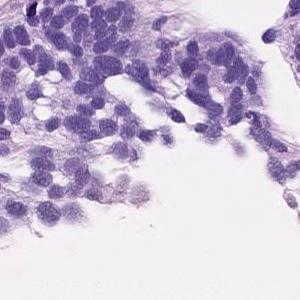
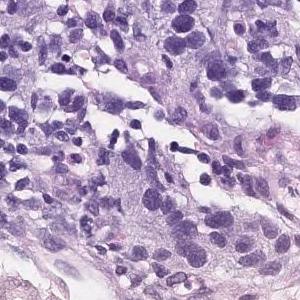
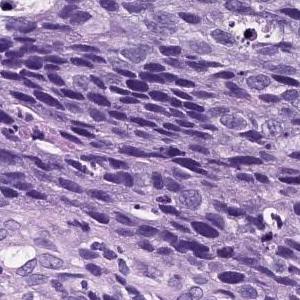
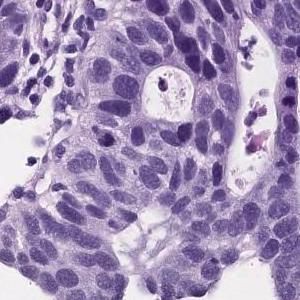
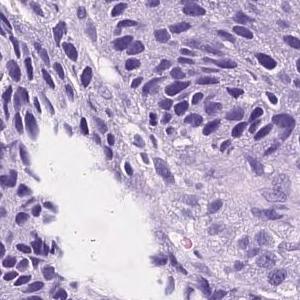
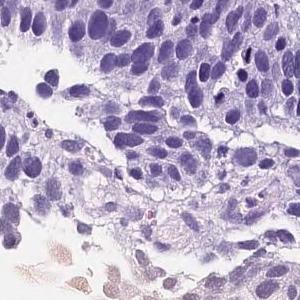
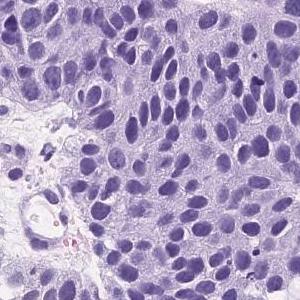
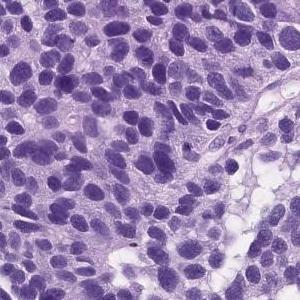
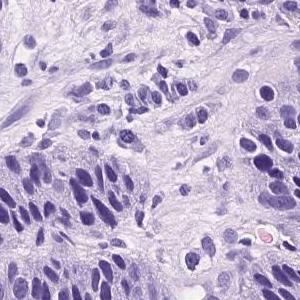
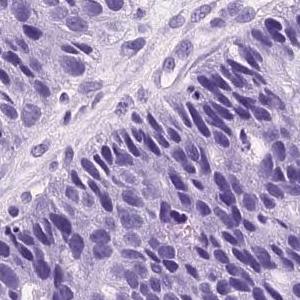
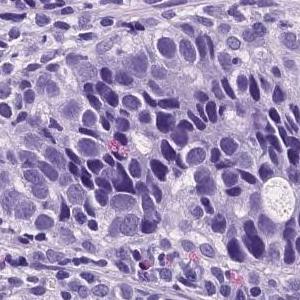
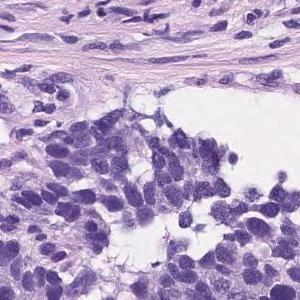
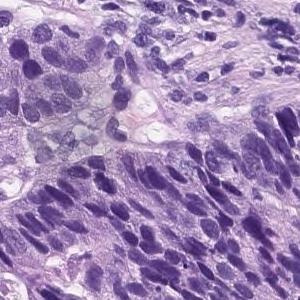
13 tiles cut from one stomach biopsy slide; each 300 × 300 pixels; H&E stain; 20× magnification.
Diagnostic report for the slide these tiles come from. The report and the diagnosis cover the entire slide, so not every feature they name need be visible here, and some tissue shown may not be tumor.
Atypical cells with atypical nuclei forming small irregular atypical ducts and growing in a conformative manner. moderately differentiated tubular adenocarcinoma
Dataset label: moderately to poorly differentiated adenocarcinoma.
